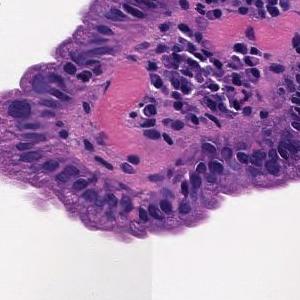
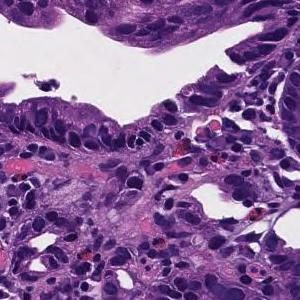
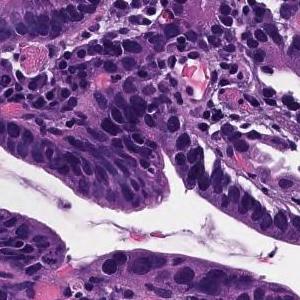
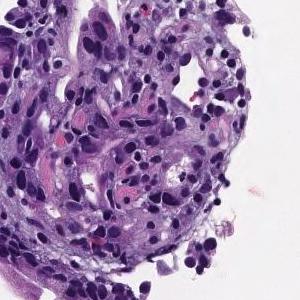
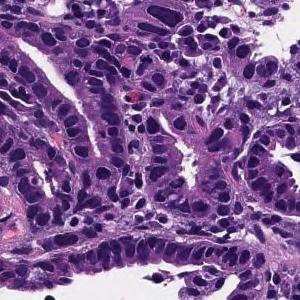
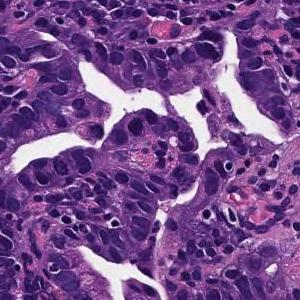
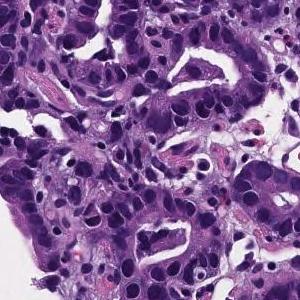
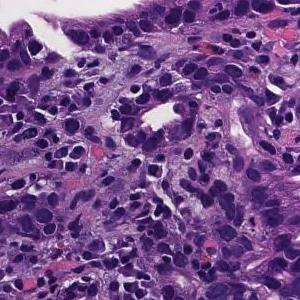
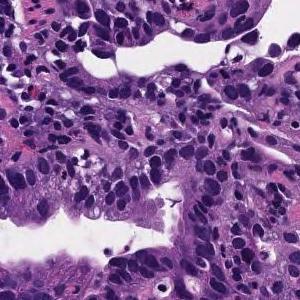
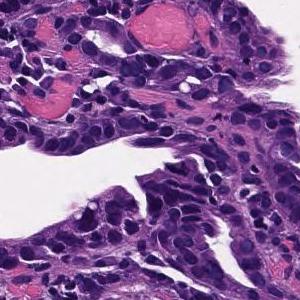
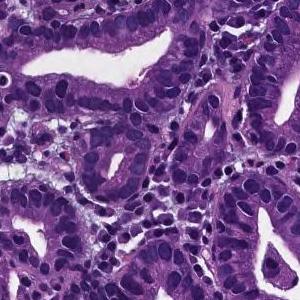
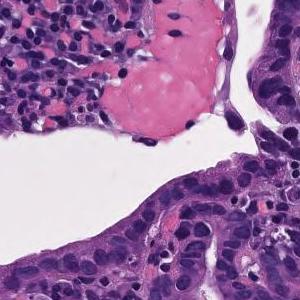
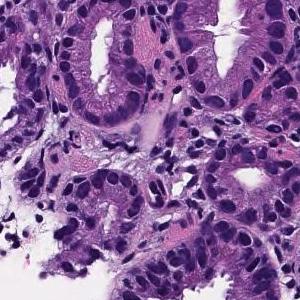
H&E stain, 13 image tiles from a single gastric biopsy slide.
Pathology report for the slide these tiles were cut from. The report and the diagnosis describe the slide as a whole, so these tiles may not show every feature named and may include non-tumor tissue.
From the superficial epithelium to the muscularis mucosae, tumor tissue consisting of medium-sized and irregular glandular ducts infiltrating is observed. Well differentiated tubular adenocarcinoma
